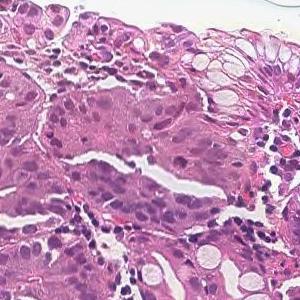
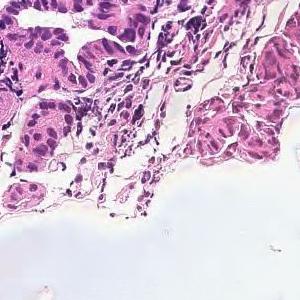
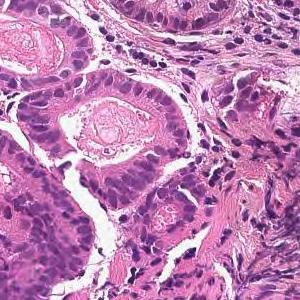
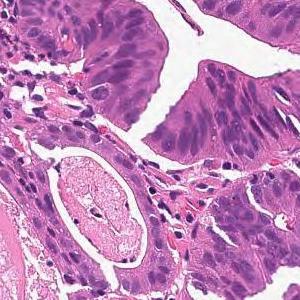
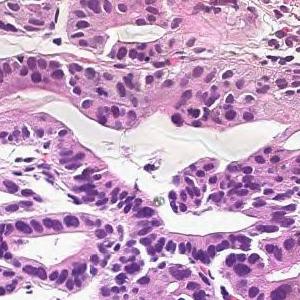
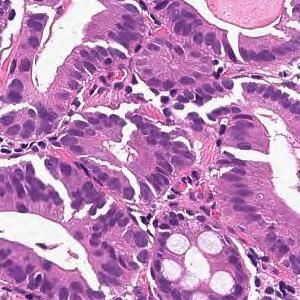
6 tiles from the same stomach biopsy slide · 300 × 300 pixels each · H&E.
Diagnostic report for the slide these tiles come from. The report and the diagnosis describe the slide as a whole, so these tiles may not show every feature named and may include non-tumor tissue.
From the superficial epithelium to the muscularis mucosae, tumor tissue consisting of medium-sized and irregular glandular ducts infiltrating is observed. Well differentiated tubular adenocarcinoma
